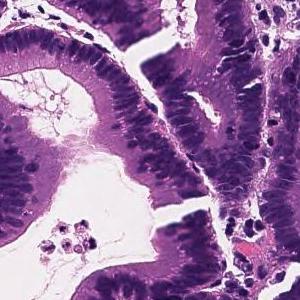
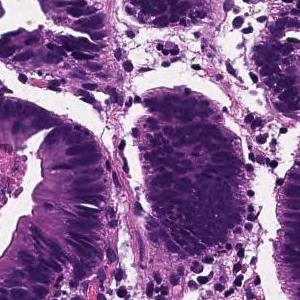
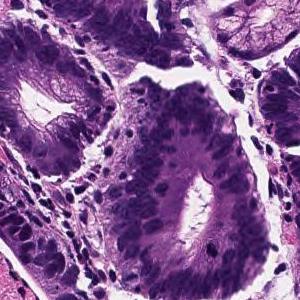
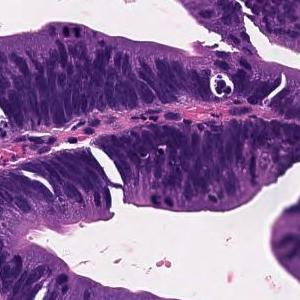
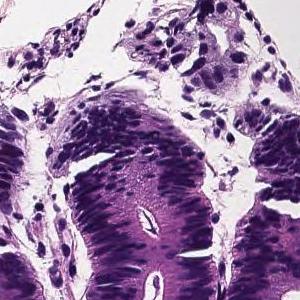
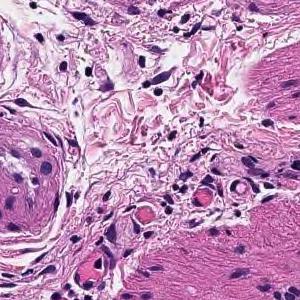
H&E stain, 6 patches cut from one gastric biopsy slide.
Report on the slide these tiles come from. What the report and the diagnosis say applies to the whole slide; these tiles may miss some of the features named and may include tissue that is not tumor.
Tumor tissue consisting of large papillary structures is found in the superficial epithelium. Papillary adenocarcinoma.
